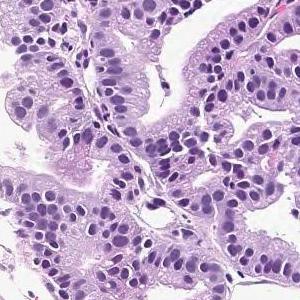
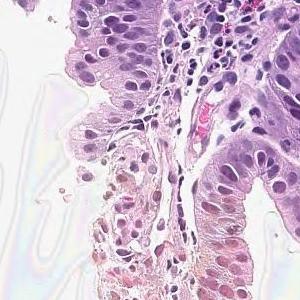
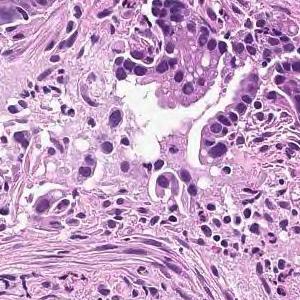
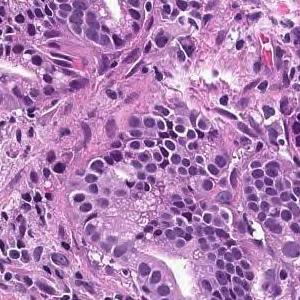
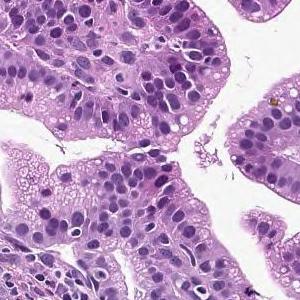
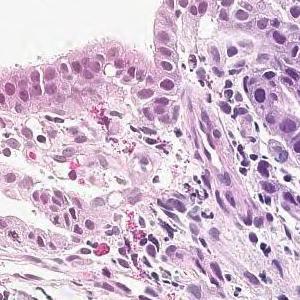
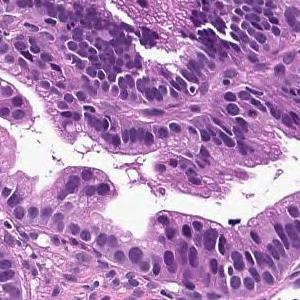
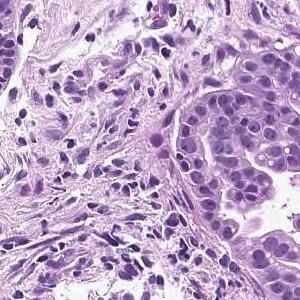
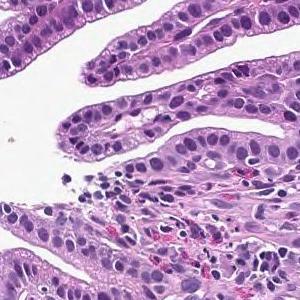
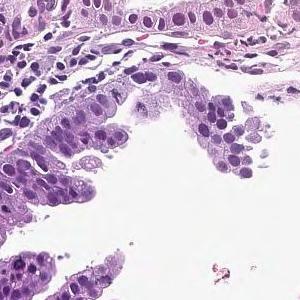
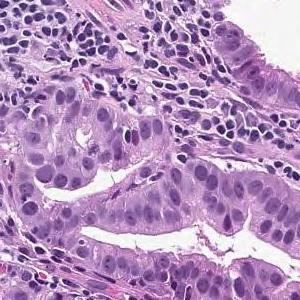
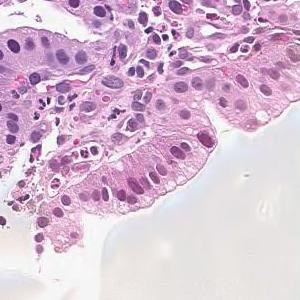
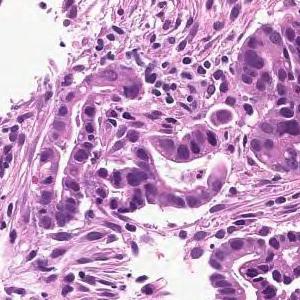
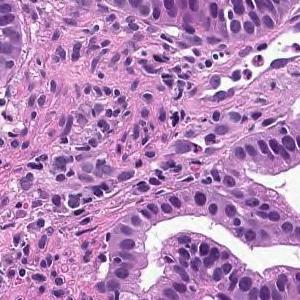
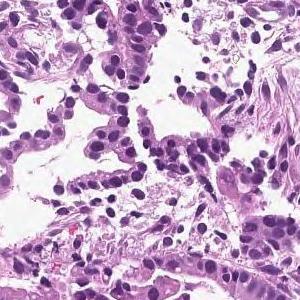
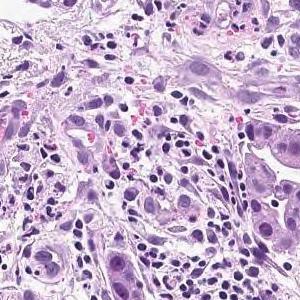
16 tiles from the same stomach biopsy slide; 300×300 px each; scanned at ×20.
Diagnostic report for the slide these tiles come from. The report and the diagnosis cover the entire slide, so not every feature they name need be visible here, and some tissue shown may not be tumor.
On the superficial epithelium, tumor tissue that infiltrates by forming medium-sized papillary or small irregular ducts is observed. Papillary adenocarcinoma
